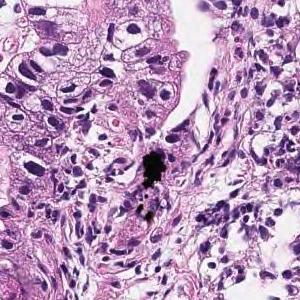
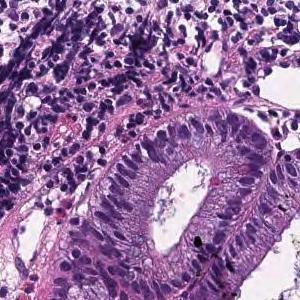
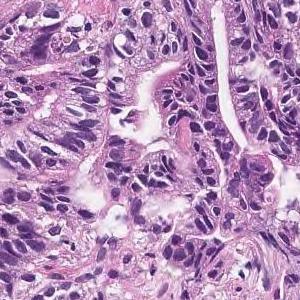
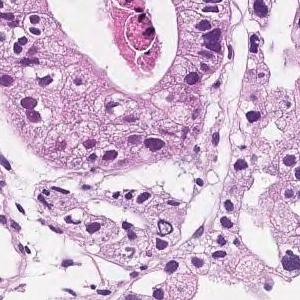
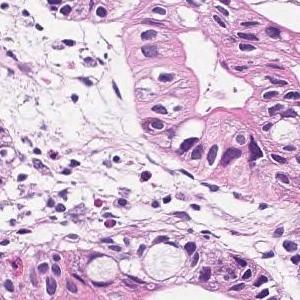
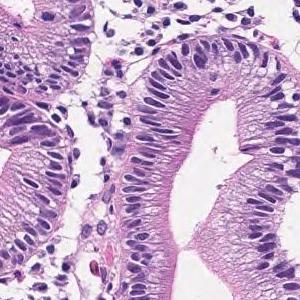
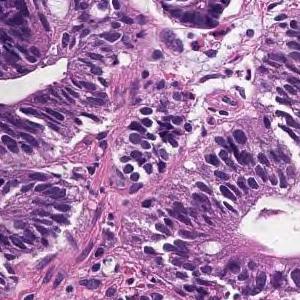
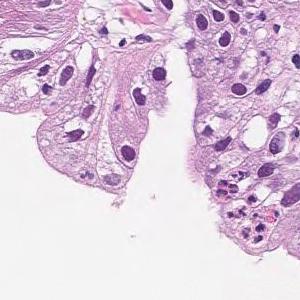
H&E; scanned at ×20; 8 image tiles from a single gastric biopsy slide; 300 × 300 pixels each.
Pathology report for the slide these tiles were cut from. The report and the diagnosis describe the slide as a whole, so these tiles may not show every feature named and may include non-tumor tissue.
In the superficial epithelium, tumor tissue that invades by forming medium-sized to small, irregular ducts is observed. Moderately differentiated adenocarcinoma.
Classified as moderately differentiated tubular adenocarcinoma.
